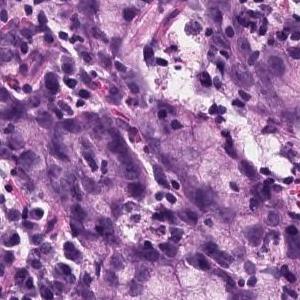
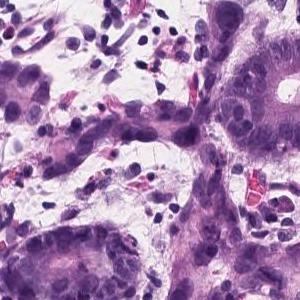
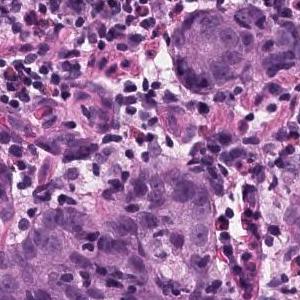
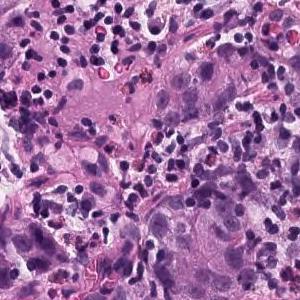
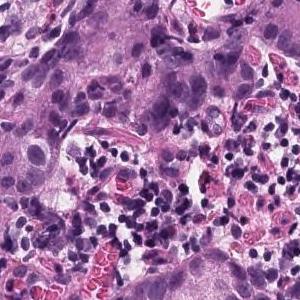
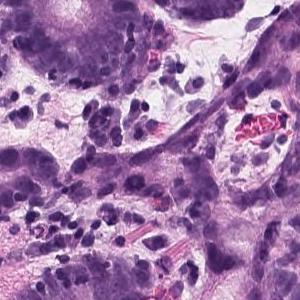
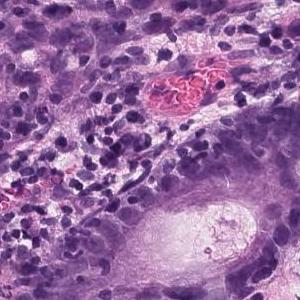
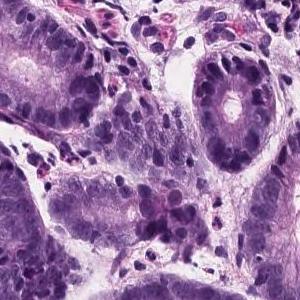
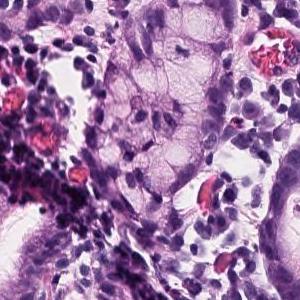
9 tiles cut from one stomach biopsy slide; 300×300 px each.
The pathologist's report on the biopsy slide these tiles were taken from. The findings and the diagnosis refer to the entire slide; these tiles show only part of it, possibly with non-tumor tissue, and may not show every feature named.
In the superficial epithelium, tumor tissue that invades by forming medium-sized to small, irregular ducts is observed. Moderately differentiated adenocarcinoma.
Histologic type: Moderately differentiated tubular adenocarcinoma.
